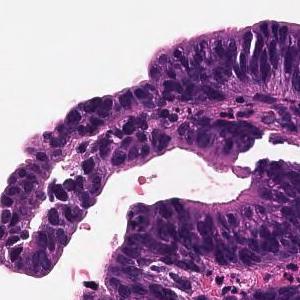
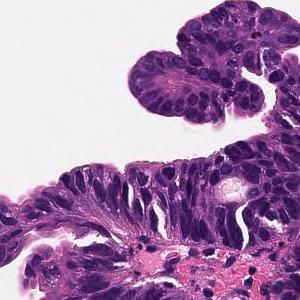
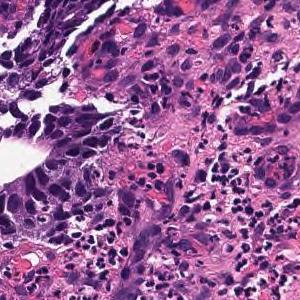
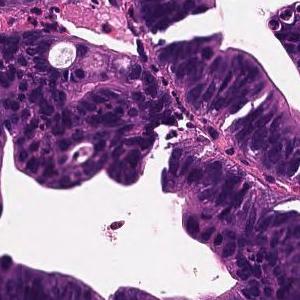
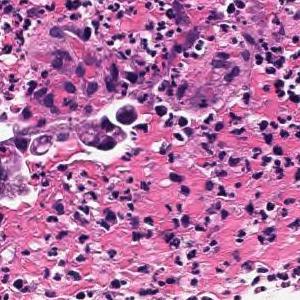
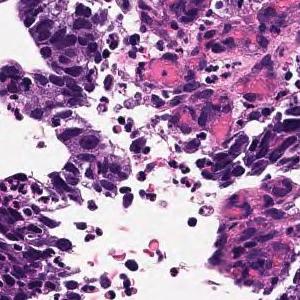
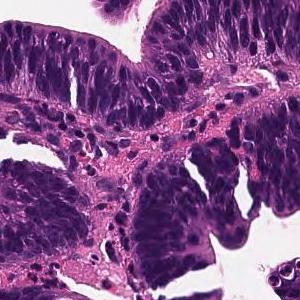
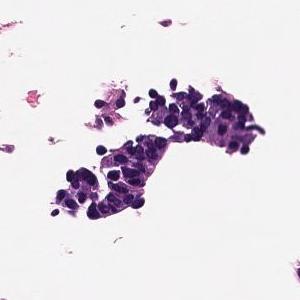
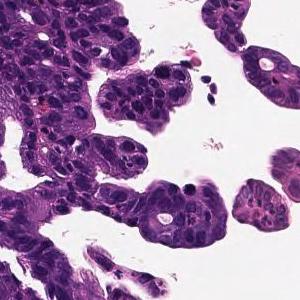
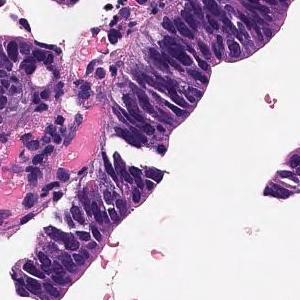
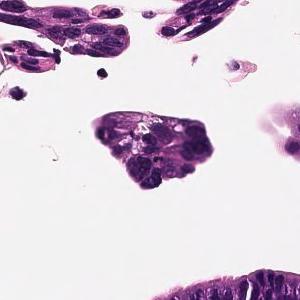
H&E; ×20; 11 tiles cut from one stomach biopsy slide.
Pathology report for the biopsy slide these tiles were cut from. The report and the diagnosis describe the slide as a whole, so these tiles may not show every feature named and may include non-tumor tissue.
Tumor cells are large, highly columnar, large club-shaped nuclei, and are associated with chromatin aggregation. Papillary adenocarcinoma.
